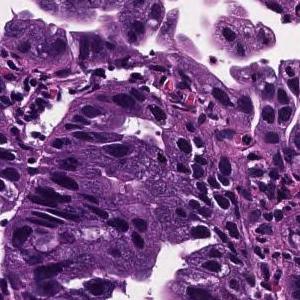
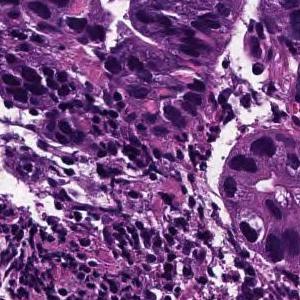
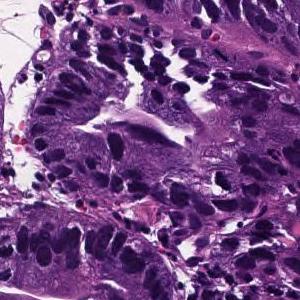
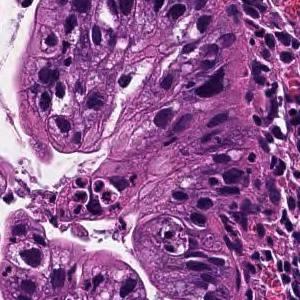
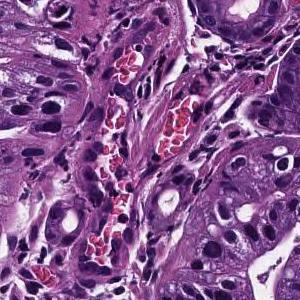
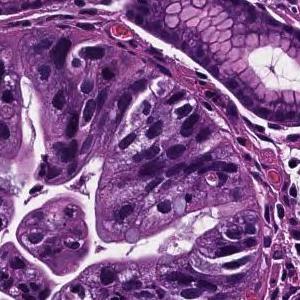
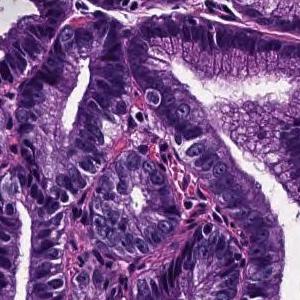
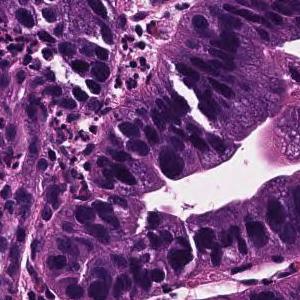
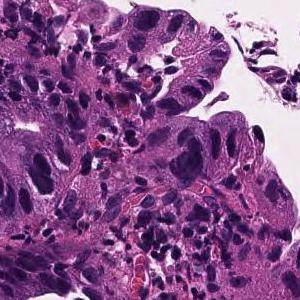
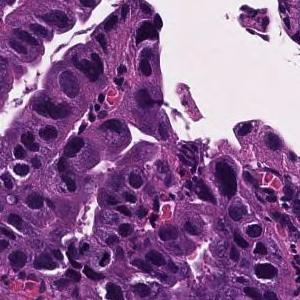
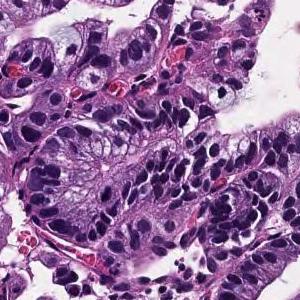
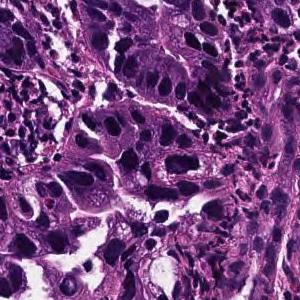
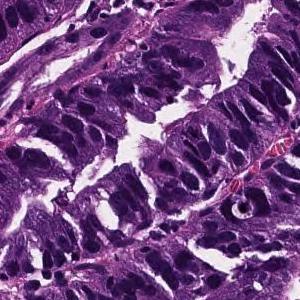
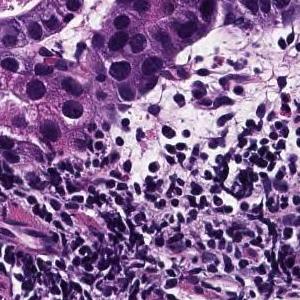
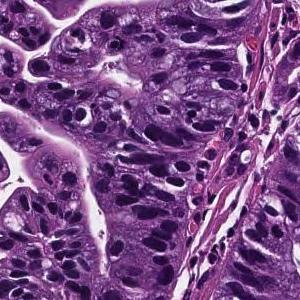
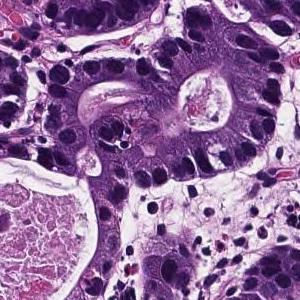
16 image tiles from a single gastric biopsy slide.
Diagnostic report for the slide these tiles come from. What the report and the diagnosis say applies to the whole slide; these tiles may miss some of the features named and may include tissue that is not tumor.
In the superficial epithelium, tumor tissue that invades by forming medium-sized to small, irregular ducts is observed. Well differentiated tubular adenocarcinoma.
